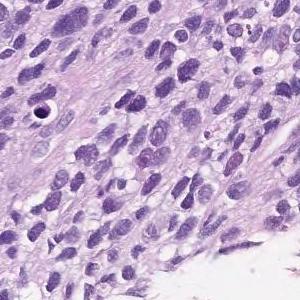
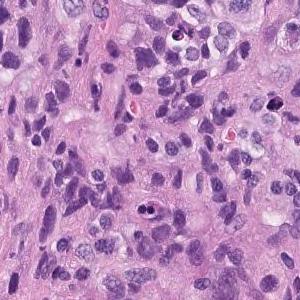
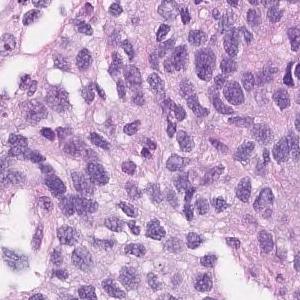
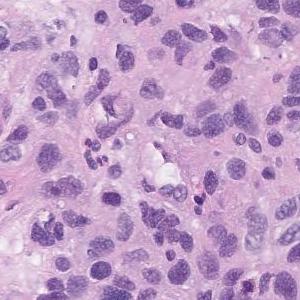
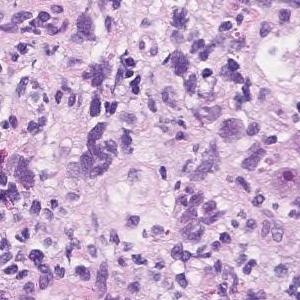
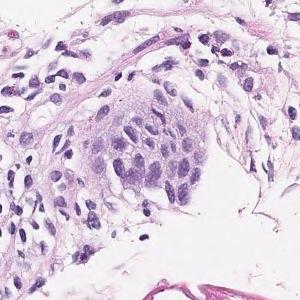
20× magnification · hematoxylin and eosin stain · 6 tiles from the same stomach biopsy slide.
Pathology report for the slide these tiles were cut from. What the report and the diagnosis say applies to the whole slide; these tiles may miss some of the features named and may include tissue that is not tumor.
Atypical l cells with atypical nuclei under the mucosa growing in isolation and scattered. Poorly differentiated adenocarcinoma (poorly differentiated adenocarcinoma, non-solid type)
Classified as poorly differentiated adenocarcinoma, non-solid type.
"Non-solid type" is a category of the Japanese Classification of Gastric Carcinoma.
